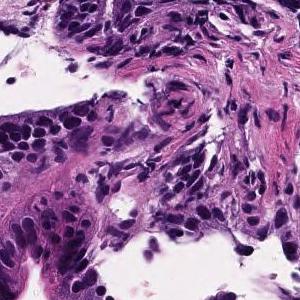
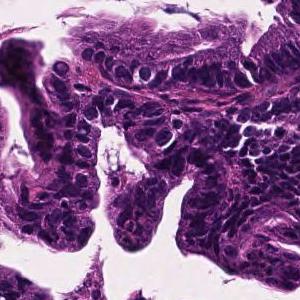
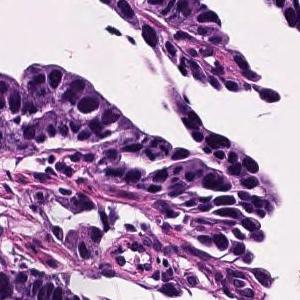
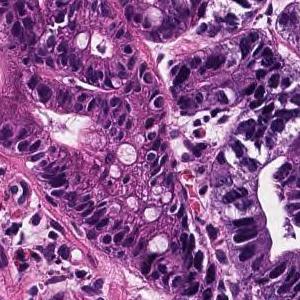
4 tiles cut from one stomach biopsy slide; 300×300 px each; 20× magnification; H&E.
Pathology report for the biopsy slide these tiles were cut from. What the report and the diagnosis say applies to the whole slide; these tiles may miss some of the features named and may include tissue that is not tumor.
Tumor cells are large, highly columnar, large club-shaped nuclei, and are associated with chromatin aggregation. Papillary adenocarcinoma.
